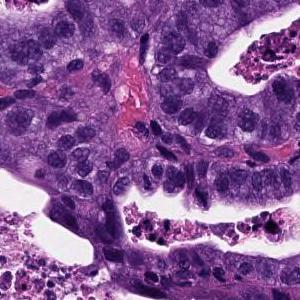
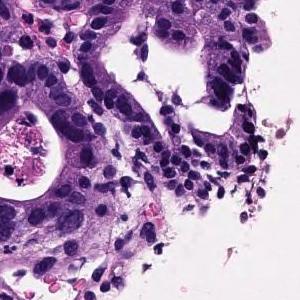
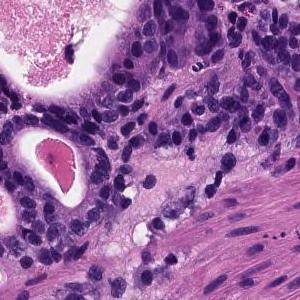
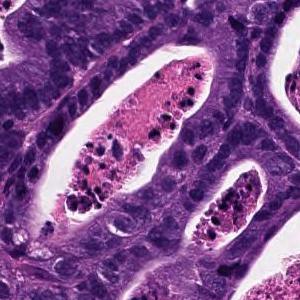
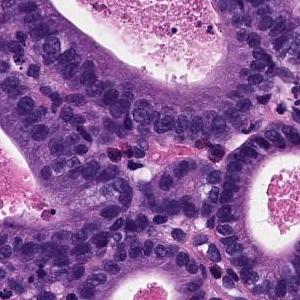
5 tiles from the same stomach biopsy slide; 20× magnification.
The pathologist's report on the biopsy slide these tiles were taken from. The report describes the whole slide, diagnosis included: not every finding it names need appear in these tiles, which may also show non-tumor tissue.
From the superficial epithelium to the muscularis mucosae, tumor tissue consisting of medium-sized and irregular glandular ducts infiltrating is observed. Well differentiated tubular adenocarcinoma
